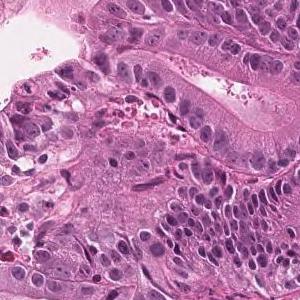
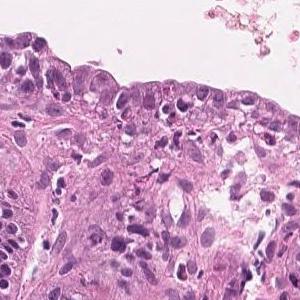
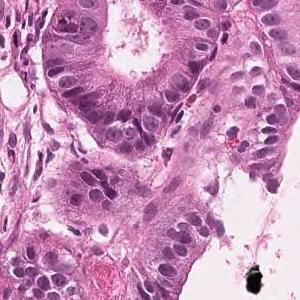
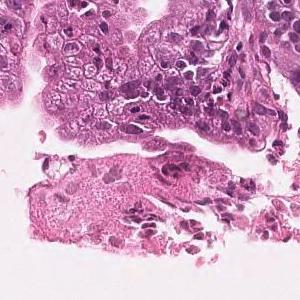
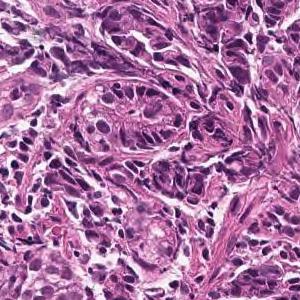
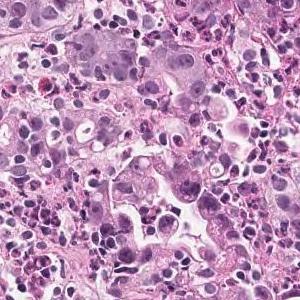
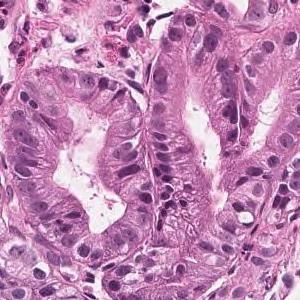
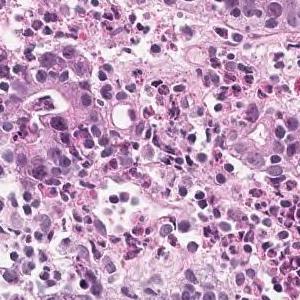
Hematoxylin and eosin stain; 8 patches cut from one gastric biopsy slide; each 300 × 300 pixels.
Diagnostic report for the slide these tiles come from. The report and the diagnosis cover the entire slide, so not every feature they name need be visible here, and some tissue shown may not be tumor.
On the superficial epithelium, tumor tissue consisting of large, irregular glandular ducts partially fused and infiltrated is observed. Well to moderately differentiated tubular adenocarcinoma (well differentiated tubular adenocarcinoma, moderately differentiated tubular adenocarcinoma)
Classified as well to moderately differentiated tubular adenocarcinoma.
